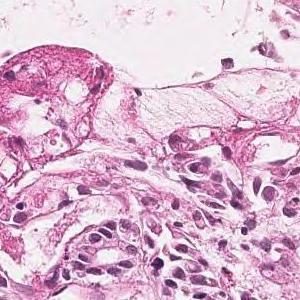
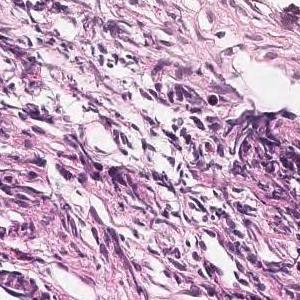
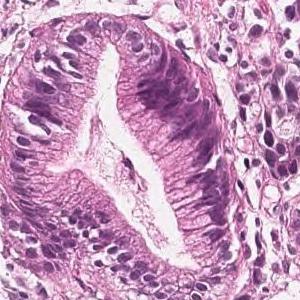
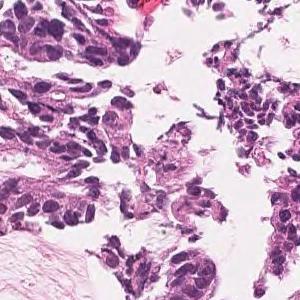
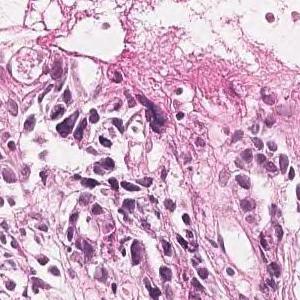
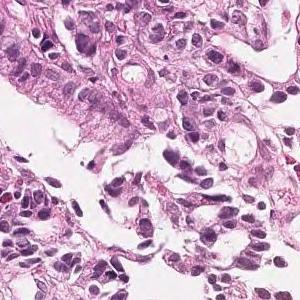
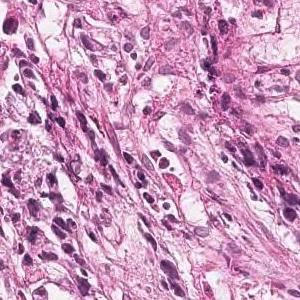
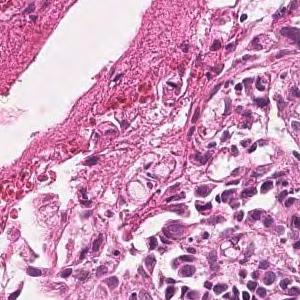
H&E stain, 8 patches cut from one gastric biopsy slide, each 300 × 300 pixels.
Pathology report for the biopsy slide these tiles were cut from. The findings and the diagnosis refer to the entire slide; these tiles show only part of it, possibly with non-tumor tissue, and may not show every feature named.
On the superficial epithelium, tumor tissue consisting of large, irregular glandular ducts partially fused and infiltrated is observed. Well to moderately differentiated tubular adenocarcinoma (well differentiated tubular adenocarcinoma, moderately differentiated tubular adenocarcinoma)
Histologic type: Well to moderately differentiated tubular adenocarcinoma.
